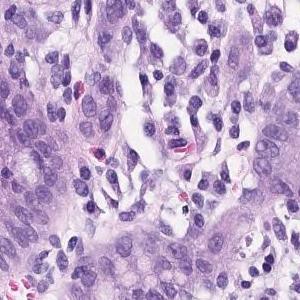
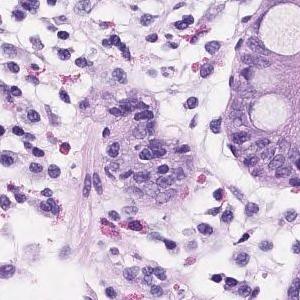
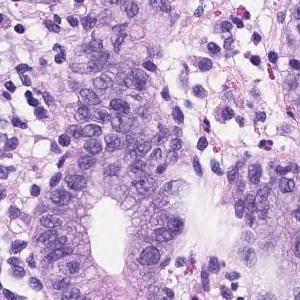
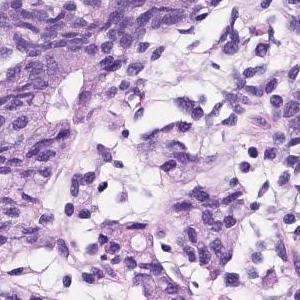
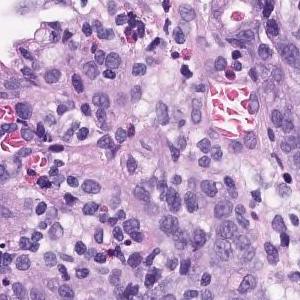
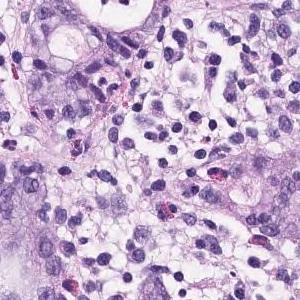
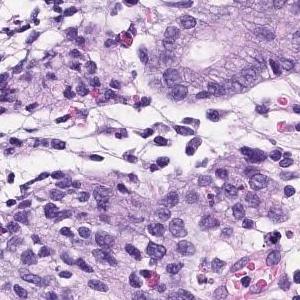
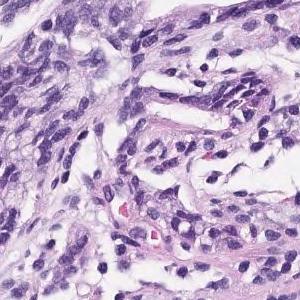
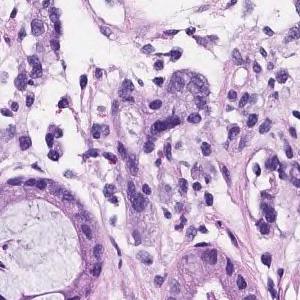
9 image tiles from a single gastric biopsy slide; 20× magnification; hematoxylin and eosin stain.
Diagnostic report for the slide these tiles come from. The findings and the diagnosis refer to the entire slide; these tiles show only part of it, possibly with non-tumor tissue, and may not show every feature named.
Atypical l cells with atypical nuclei forming diffuse or small irregular atypical ducts and growing. Moderately to poorly differentiated adenocarcinoma (poorly differentiated adenocarcinoma, solid type moderately differentiated tubular adenocarcinoma)
Subtype: Moderately to poorly differentiated adenocarcinoma.
"Solid type" is a category of the Japanese Classification of Gastric Carcinoma; in the WHO 2019 classification it is tubular adenocarcinoma, poorly differentiated.
